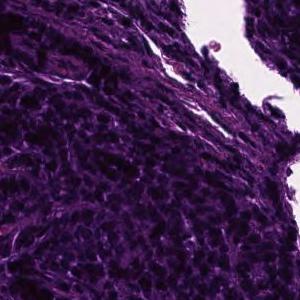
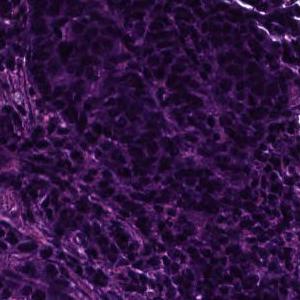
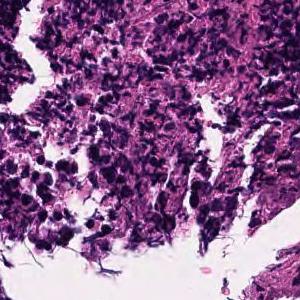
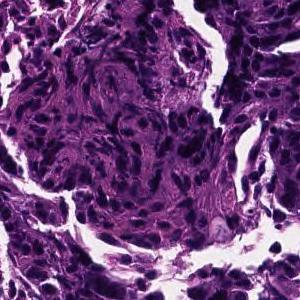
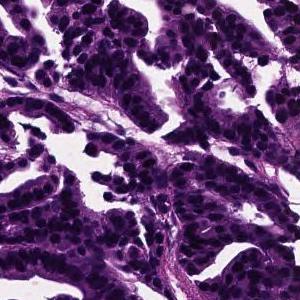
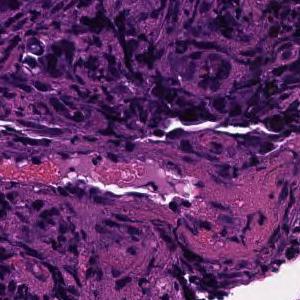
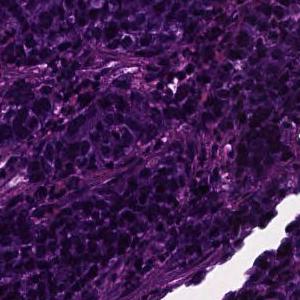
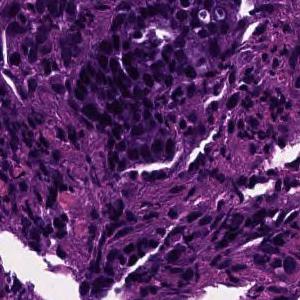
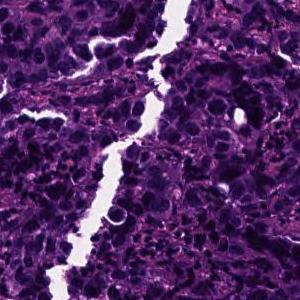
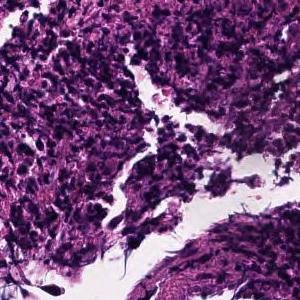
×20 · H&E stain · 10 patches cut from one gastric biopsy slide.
Report on the slide these tiles come from. The report describes the whole slide, diagnosis included: not every finding it names need appear in these tiles, which may also show non-tumor tissue.
In the superficial epithelium, tumor tissue that invades by forming medium-sized to small, irregular ducts is observed. moderately differentiated tubular adenocarcinoma.
